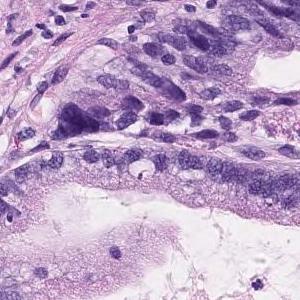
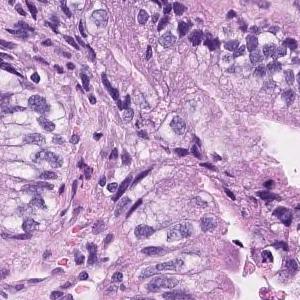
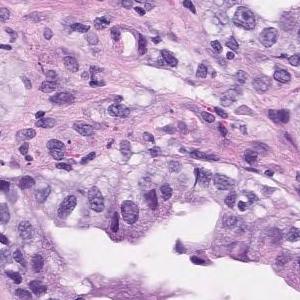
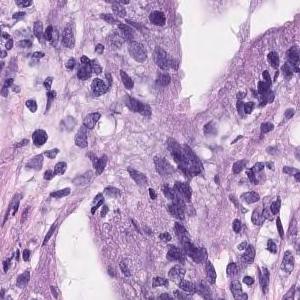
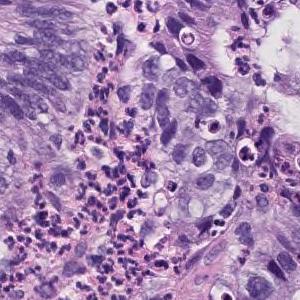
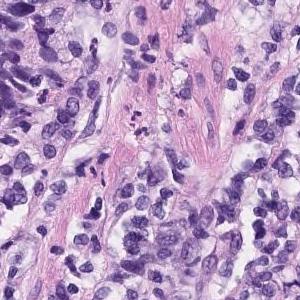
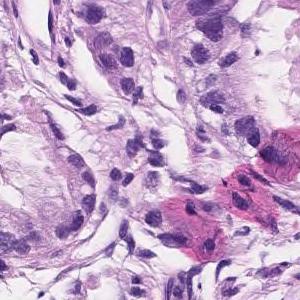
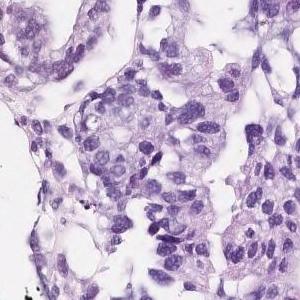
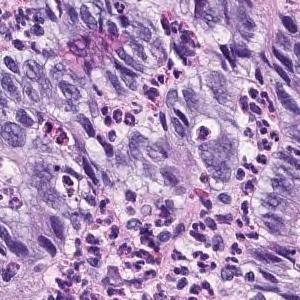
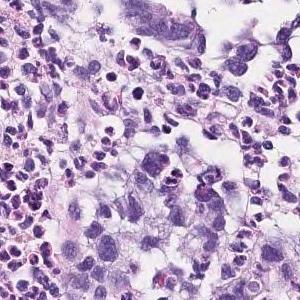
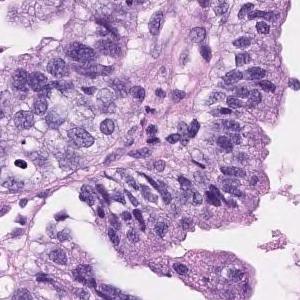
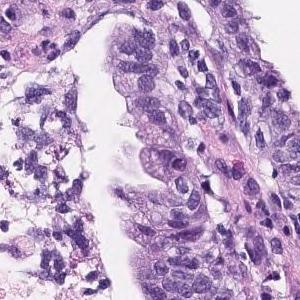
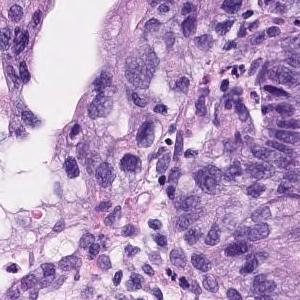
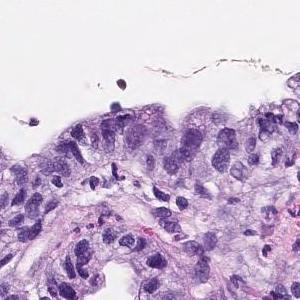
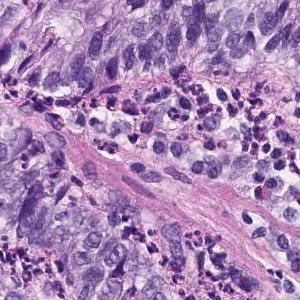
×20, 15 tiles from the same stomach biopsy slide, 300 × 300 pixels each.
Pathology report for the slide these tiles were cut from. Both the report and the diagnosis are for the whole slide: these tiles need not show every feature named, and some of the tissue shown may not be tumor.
Tumor cells are large, highly columnar, large club-shaped nuclei, and are associated with chromatin aggregation. Papillary adenocarcinoma.
